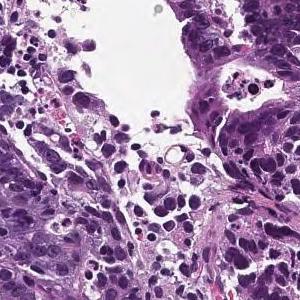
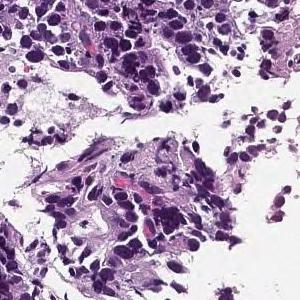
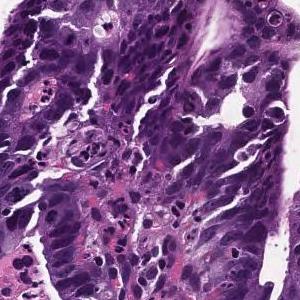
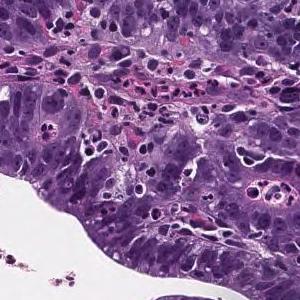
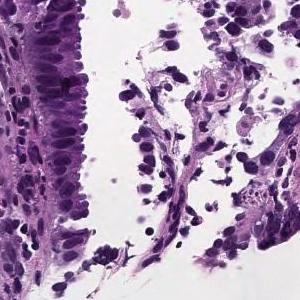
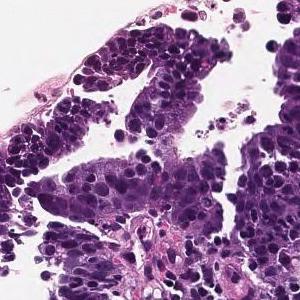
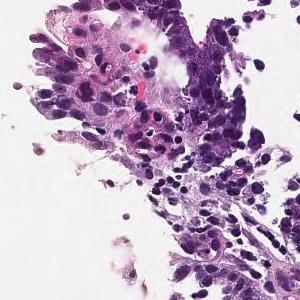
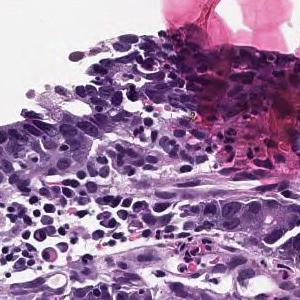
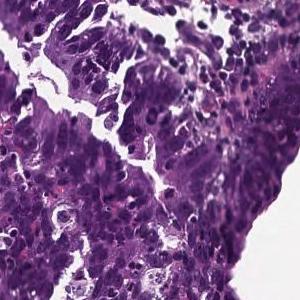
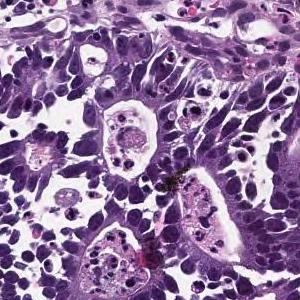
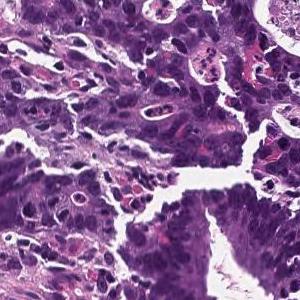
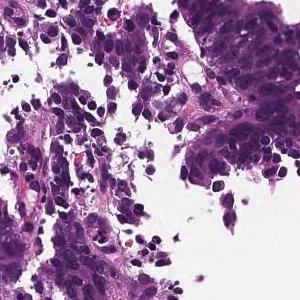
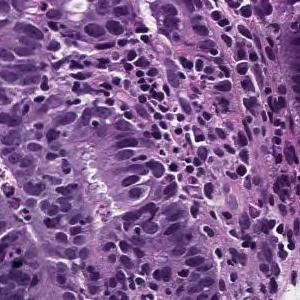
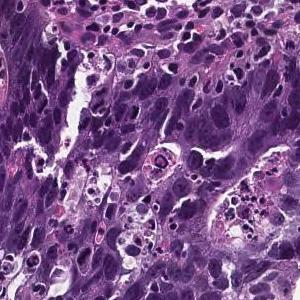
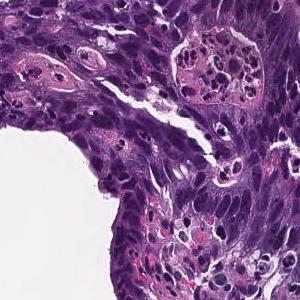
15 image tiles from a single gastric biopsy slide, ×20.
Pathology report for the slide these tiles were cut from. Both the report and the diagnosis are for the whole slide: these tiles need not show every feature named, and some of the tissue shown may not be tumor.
On the superficial epithelium, tumor tissue is found in which medium-sized irregular gland ducts fuse with each other and infiltrate. moderately differentiated tubular adenocarcinoma
